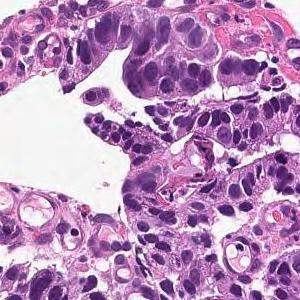
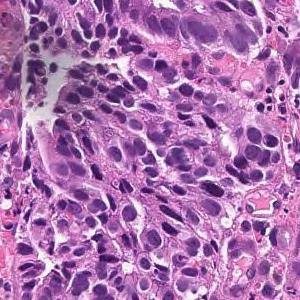
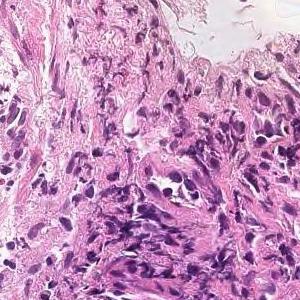
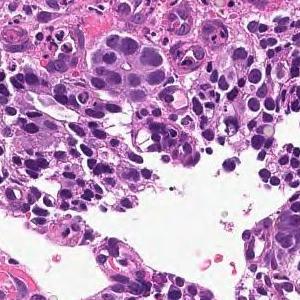
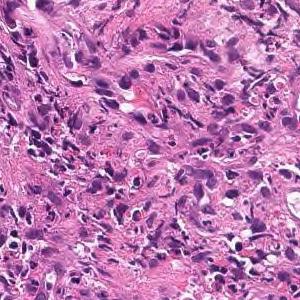
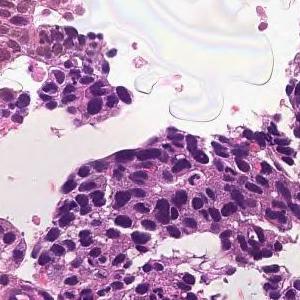
H&E stain; 6 tiles cut from one stomach biopsy slide.
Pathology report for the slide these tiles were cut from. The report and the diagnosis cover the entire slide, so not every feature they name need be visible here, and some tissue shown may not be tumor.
On the superficial epithelium, tumor tissue consisting of large irregular glandular ducts partially fused and infiltrated is observed. Well to moderately differentiated tubular adenocarcinoma (well differentiated tubular adenocarcinoma, moderately differentiated tubular adenocarcinoma)
Tumor subtype: well to moderately differentiated tubular adenocarcinoma.
